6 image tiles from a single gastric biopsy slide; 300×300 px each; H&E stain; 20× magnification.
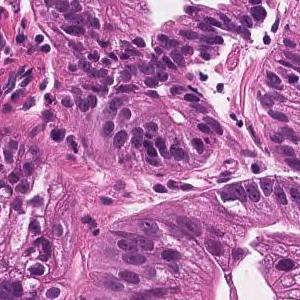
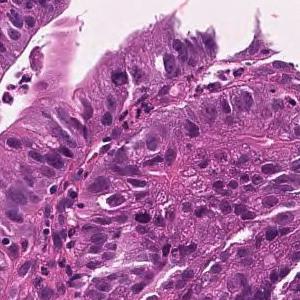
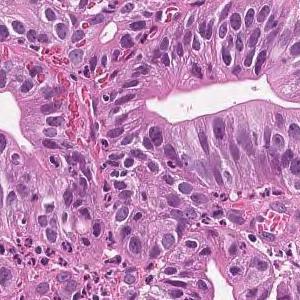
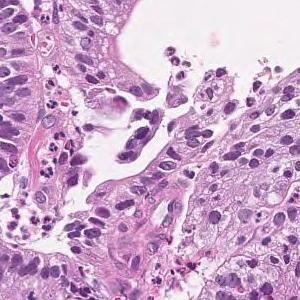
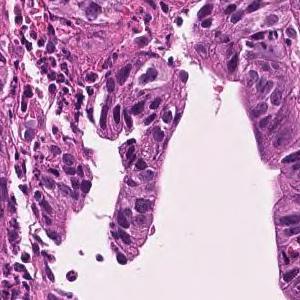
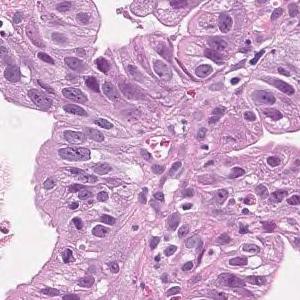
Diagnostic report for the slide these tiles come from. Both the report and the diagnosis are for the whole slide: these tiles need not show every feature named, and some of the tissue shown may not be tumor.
Tumor cells are large, highly columnar, large club-shaped nuclei, and are associated with chromatin aggregation. Papillary adenocarcinoma.
